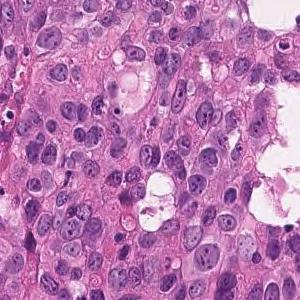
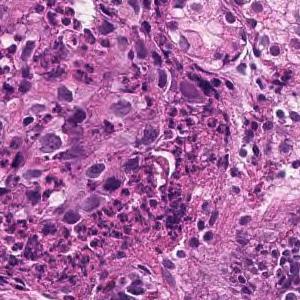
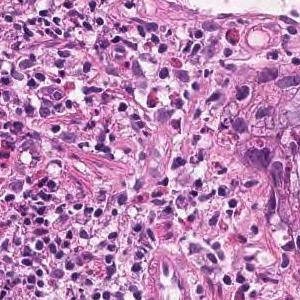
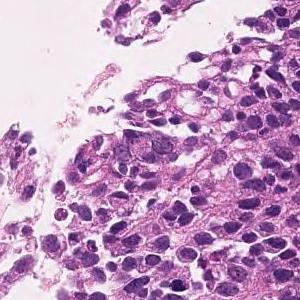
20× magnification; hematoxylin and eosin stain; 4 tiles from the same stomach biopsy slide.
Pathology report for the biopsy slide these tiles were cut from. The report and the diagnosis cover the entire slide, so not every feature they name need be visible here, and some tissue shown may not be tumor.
The superficial epithelium shows a large sheet-like shape, and some tumor tissue infiltrates with small irregular ducts. Poorly differentiated adenocarcinoma, solid-type
Tumor subtype: poorly differentiated adenocarcinoma, solid type, a category of the Japanese Classification of Gastric Carcinoma; in the WHO 2019 classification it is tubular adenocarcinoma, poorly differentiated.
